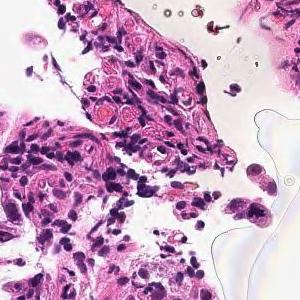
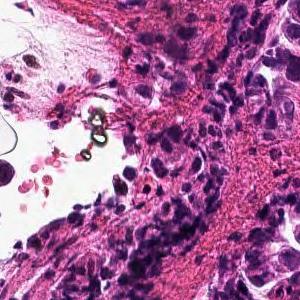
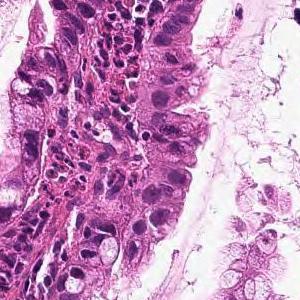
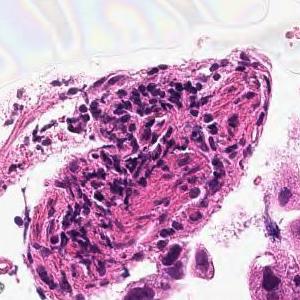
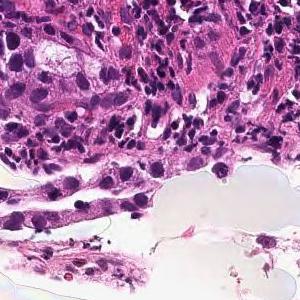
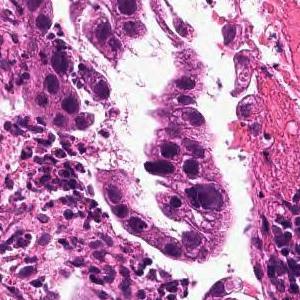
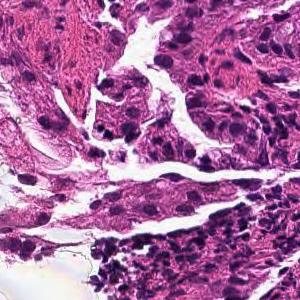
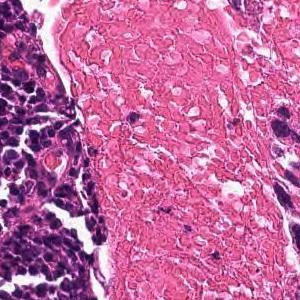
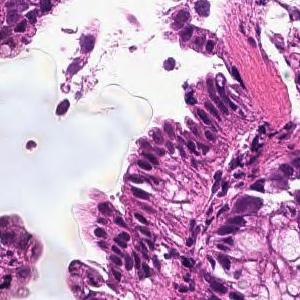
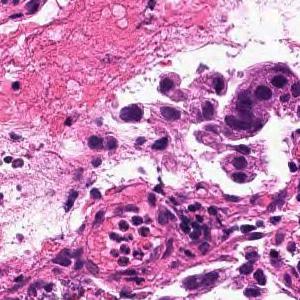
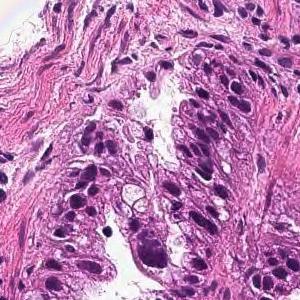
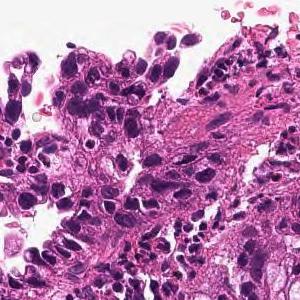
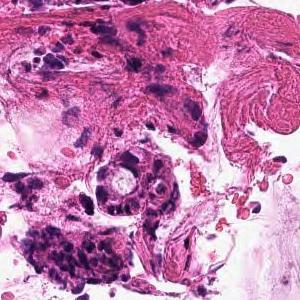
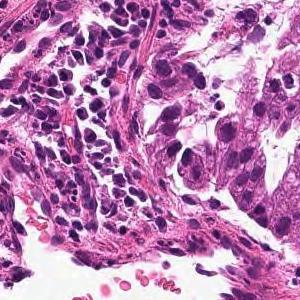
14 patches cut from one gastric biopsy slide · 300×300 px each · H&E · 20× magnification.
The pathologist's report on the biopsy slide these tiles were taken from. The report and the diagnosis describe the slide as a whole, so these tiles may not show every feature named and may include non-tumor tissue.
From the superficial epithelium to the muscularis mucosae, tumor tissue infiltrating by forming medium-sized irregular gland ducts is observed. Well differentiated tubular adenocarcinoma
